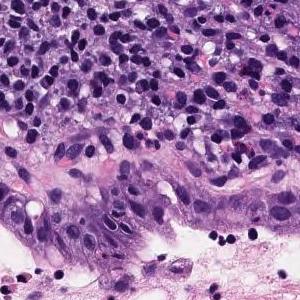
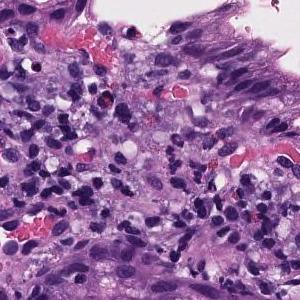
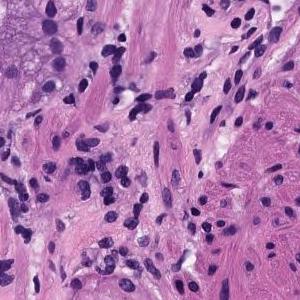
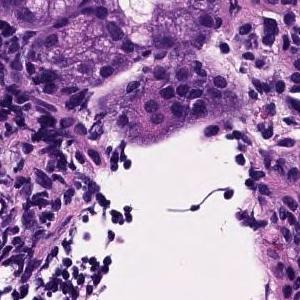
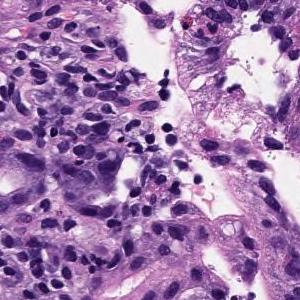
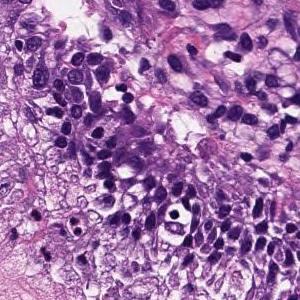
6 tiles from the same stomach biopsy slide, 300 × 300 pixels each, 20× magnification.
Pathology report for the biopsy slide these tiles were cut from. Both the report and the diagnosis are for the whole slide: these tiles need not show every feature named, and some of the tissue shown may not be tumor.
Medium to small, irregular glandular ducts are formed in the superficial epithelium, and in some cases, the glandular ducts are fused to show solid alveolar lesions and infiltrating tumor tissue is observed. Moderately to poorly differentiated adenocarcinoma.
